9 tiles from the same stomach biopsy slide; 300×300 px each; H&E stain.
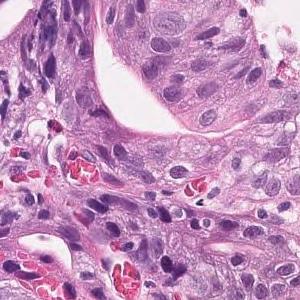
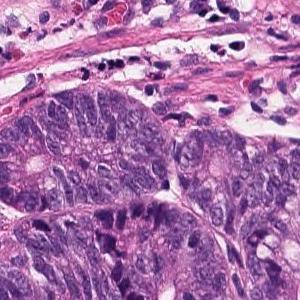
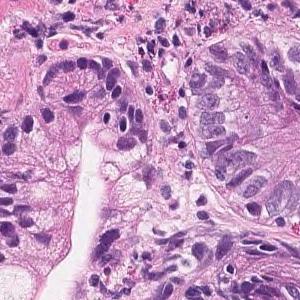
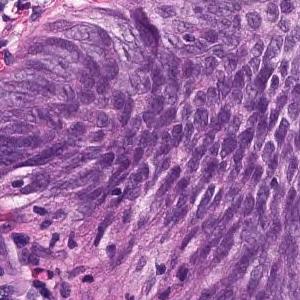
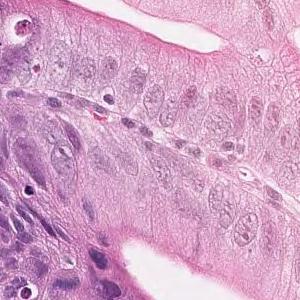
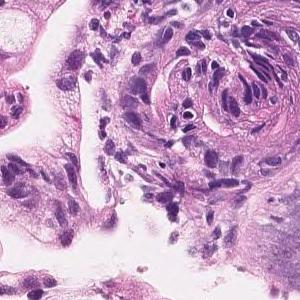
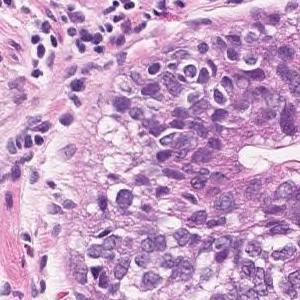
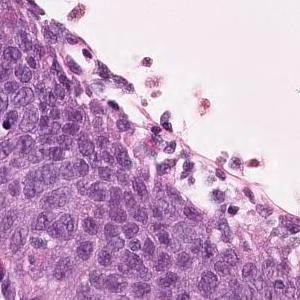
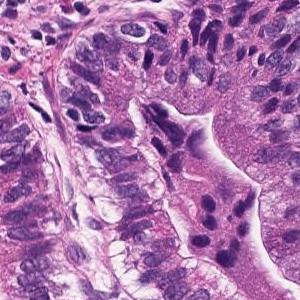
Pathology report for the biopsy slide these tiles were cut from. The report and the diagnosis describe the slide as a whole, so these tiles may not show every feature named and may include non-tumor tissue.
Tumor cells are large, highly columnar, large club-shaped nuclei, and are associated with chromatin aggregation. Papillary adenocarcinoma.
